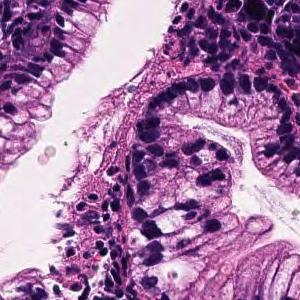
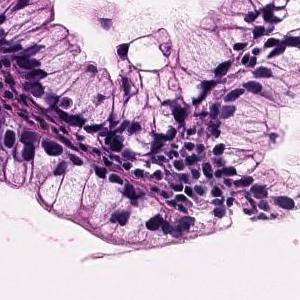
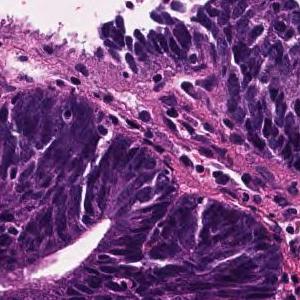
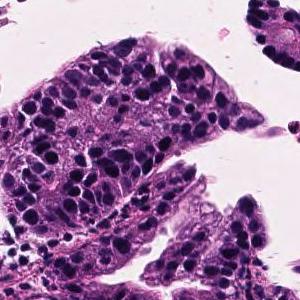
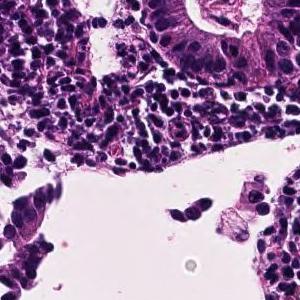
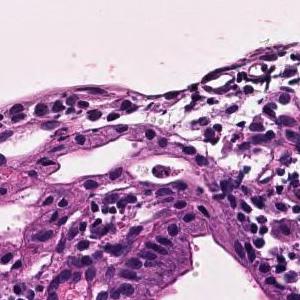
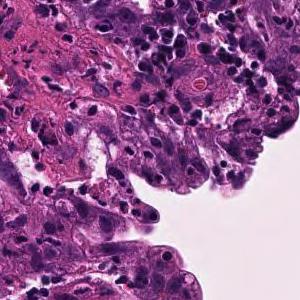
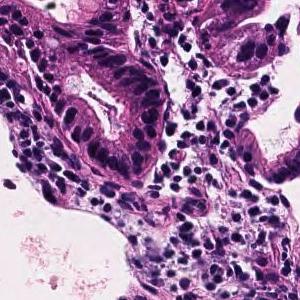
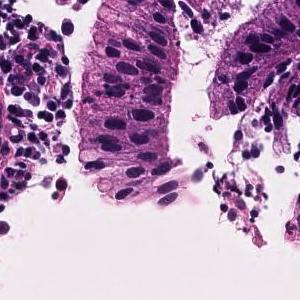
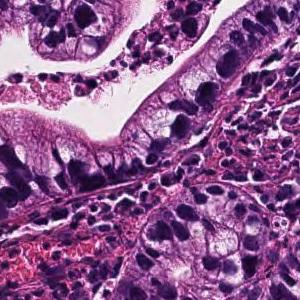
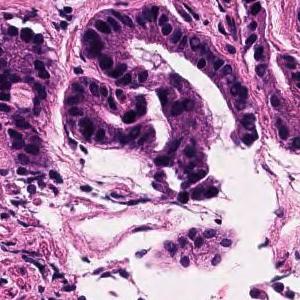
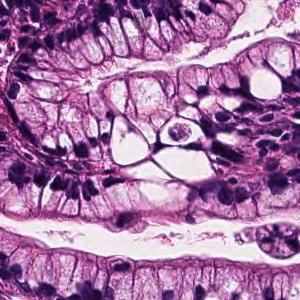
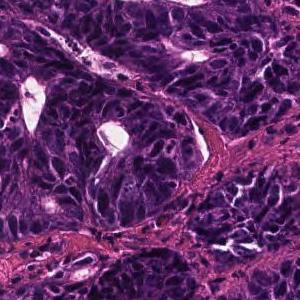
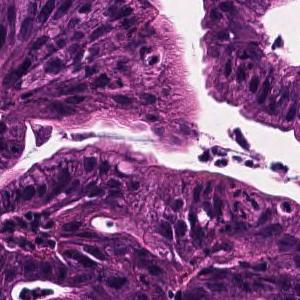
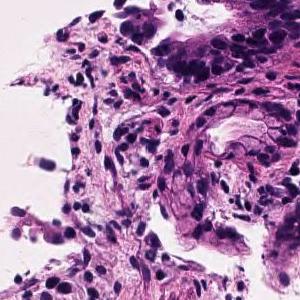
15 tiles cut from one stomach biopsy slide · hematoxylin and eosin stain · 20× magnification.
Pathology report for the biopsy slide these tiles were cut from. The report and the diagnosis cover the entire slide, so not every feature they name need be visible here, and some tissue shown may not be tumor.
Tumor cells are large, highly columnar, large club-shaped nuclei, and are associated with chromatin aggregation. Papillary adenocarcinoma.
